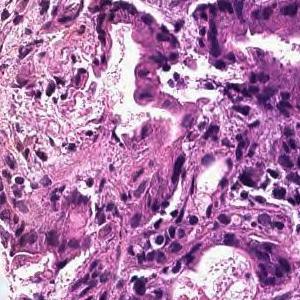
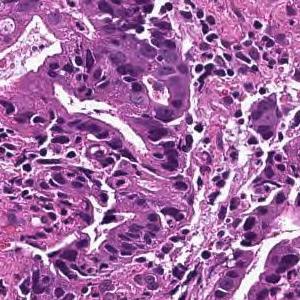
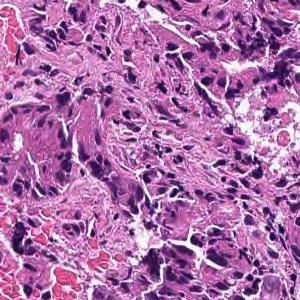
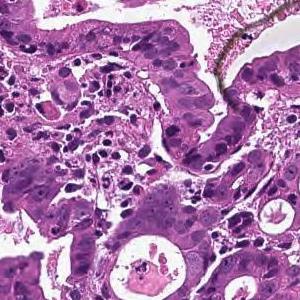
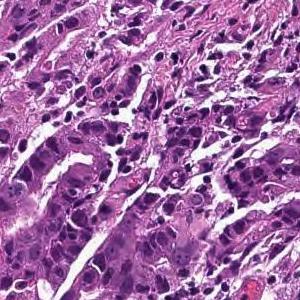
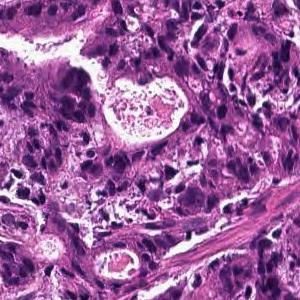
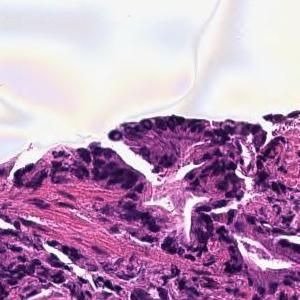
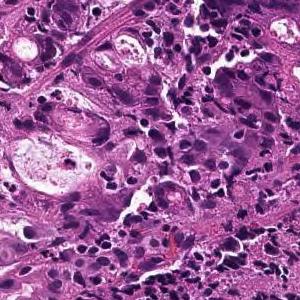
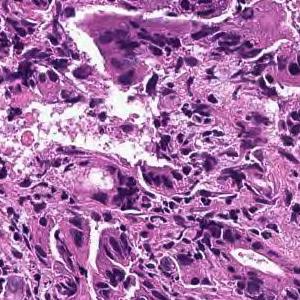
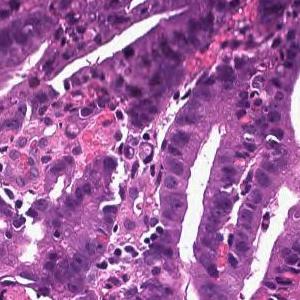
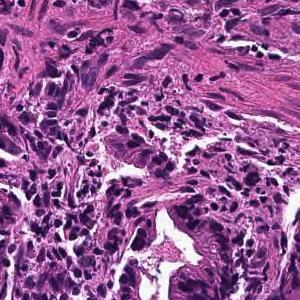
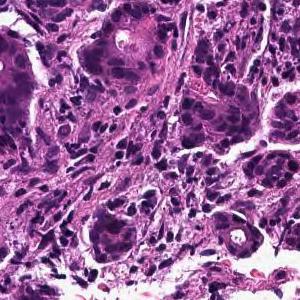
Hematoxylin and eosin stain, 12 tiles from the same stomach biopsy slide.
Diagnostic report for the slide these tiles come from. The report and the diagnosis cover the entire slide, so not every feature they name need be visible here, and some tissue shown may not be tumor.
In the superficial epithelium, tumor tissue that invades by forming medium-sized to small, irregular ducts is observed. moderately differentiated tubular adenocarcinoma.
